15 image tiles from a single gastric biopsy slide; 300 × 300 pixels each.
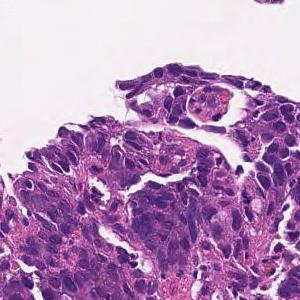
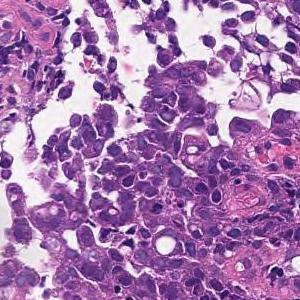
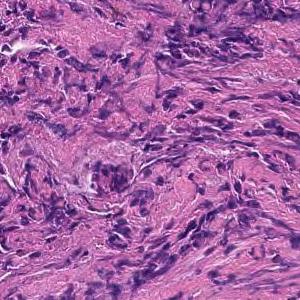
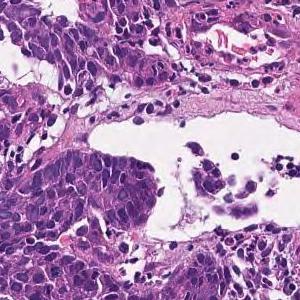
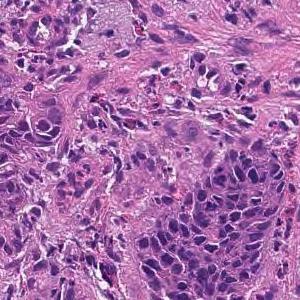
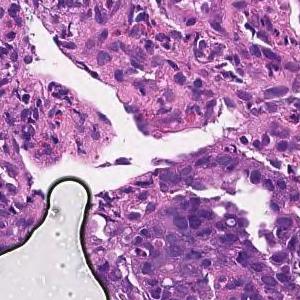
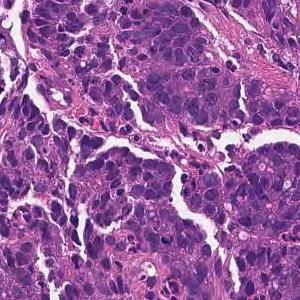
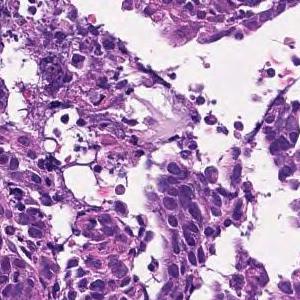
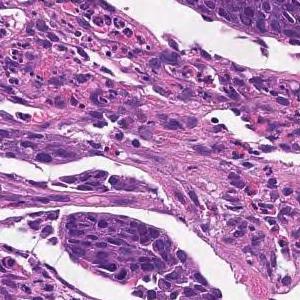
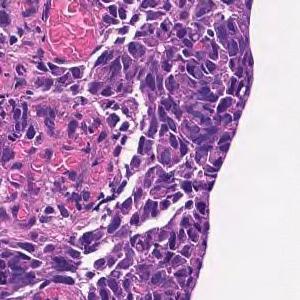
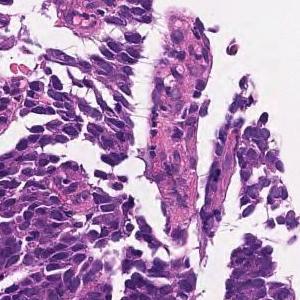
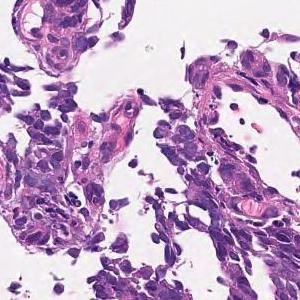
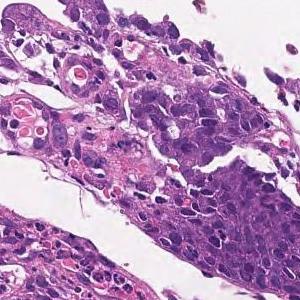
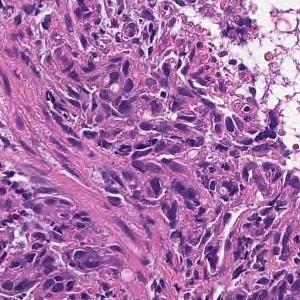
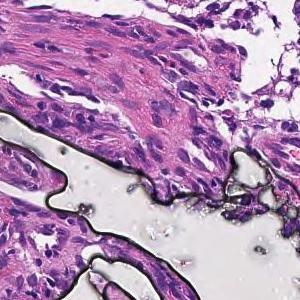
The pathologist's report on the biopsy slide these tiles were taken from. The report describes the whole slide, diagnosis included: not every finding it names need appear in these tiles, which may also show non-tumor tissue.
Tumor tissue consisting of cord-like or small, irregular glandular ducts fused and infiltrated is observed in the superficial epithelium. Poorly differentiated adenocarcinoma, non-solid type
The term "non-solid type" comes from the Japanese Classification of Gastric Carcinoma.
